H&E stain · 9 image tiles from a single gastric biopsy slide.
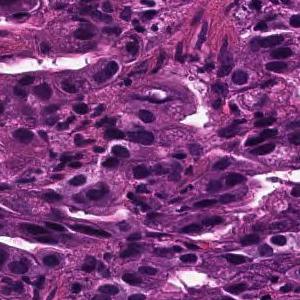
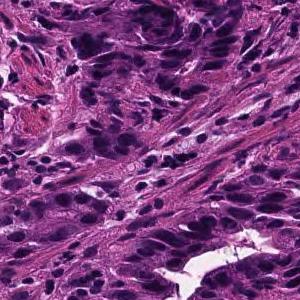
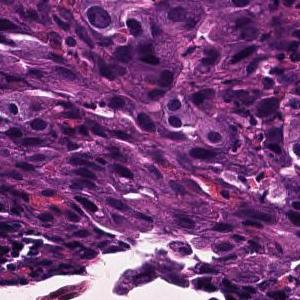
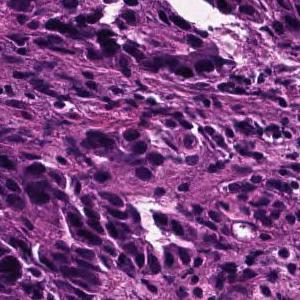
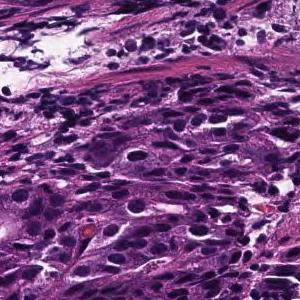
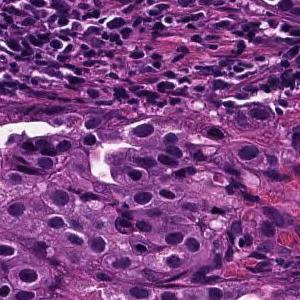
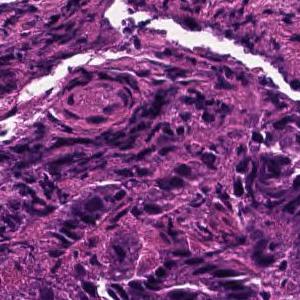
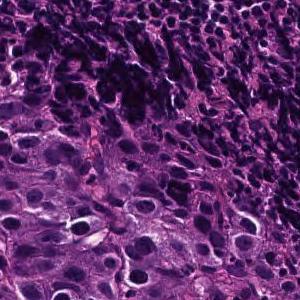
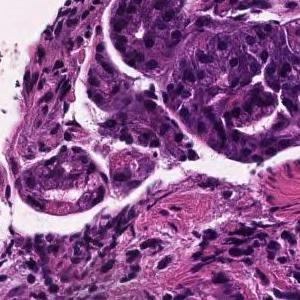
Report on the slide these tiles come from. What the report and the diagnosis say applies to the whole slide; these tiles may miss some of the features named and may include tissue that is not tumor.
Tumor tissue consisting of medium-sized, cord-like or irregular glandular fusion and infiltration is observed in the superficial epithelium. Poorly differentiated adenocarcinoma, non-solid type or moderately differentiated tubular adenocarcinoma
Subtype: Moderately to poorly differentiated adenocarcinoma.
"Non-solid type" is a category of the Japanese Classification of Gastric Carcinoma.
